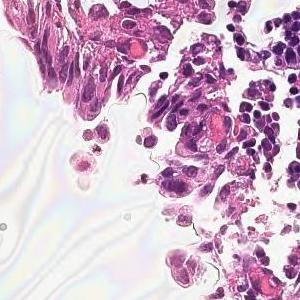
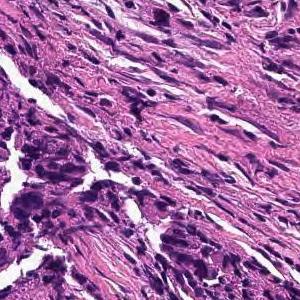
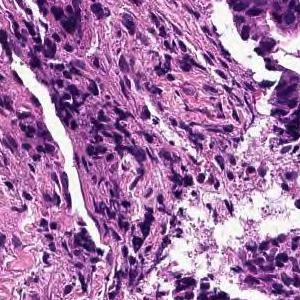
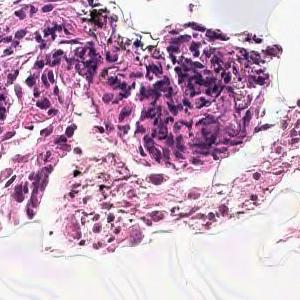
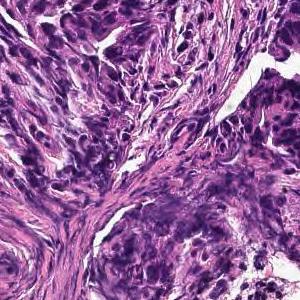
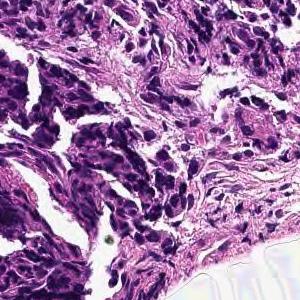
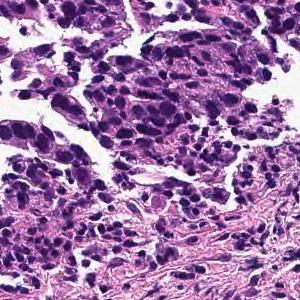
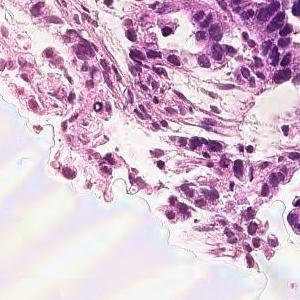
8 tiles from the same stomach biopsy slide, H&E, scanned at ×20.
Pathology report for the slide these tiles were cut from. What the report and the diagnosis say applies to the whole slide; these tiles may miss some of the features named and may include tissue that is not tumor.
In the superficial epithelium, tumor tissue that invades by forming medium-sized to small, irregular ducts is observed. moderately differentiated tubular adenocarcinoma.
